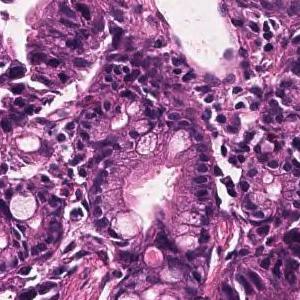
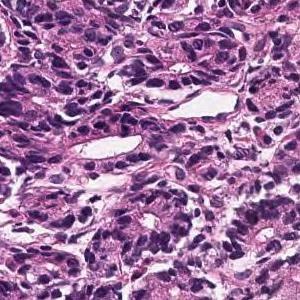
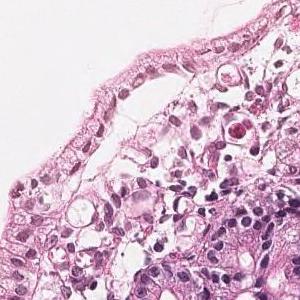
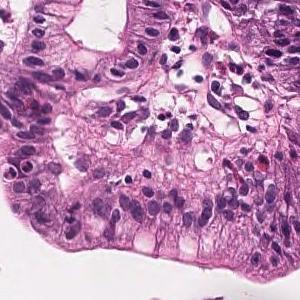
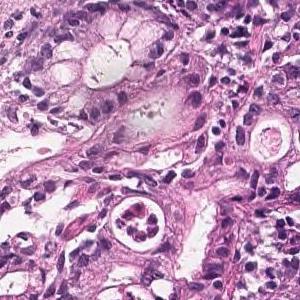
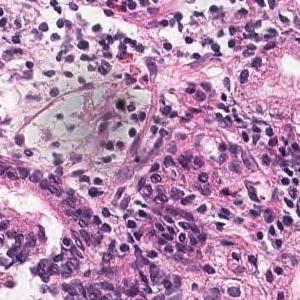
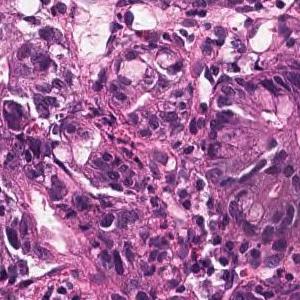
H&E · 20× magnification · 7 tiles cut from one stomach biopsy slide · each 300 × 300 pixels.
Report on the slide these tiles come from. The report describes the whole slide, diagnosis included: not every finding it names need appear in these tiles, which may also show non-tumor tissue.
On the superficial epithelium, tumor tissue consisting of large, irregular glandular ducts partially fused and infiltrated is observed. Well to moderately differentiated tubular adenocarcinoma (well differentiated tubular adenocarcinoma, moderately differentiated tubular adenocarcinoma)
Histologic type: Well to moderately differentiated tubular adenocarcinoma.
